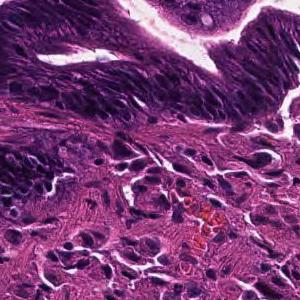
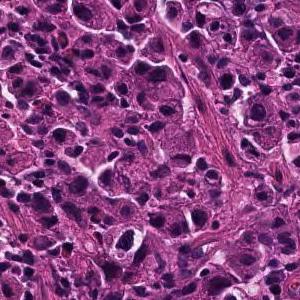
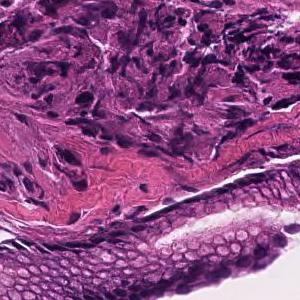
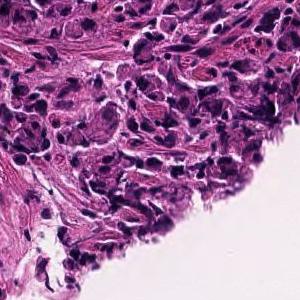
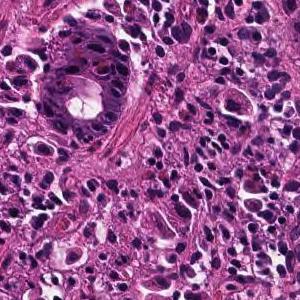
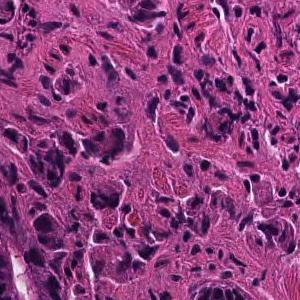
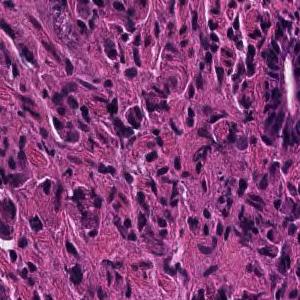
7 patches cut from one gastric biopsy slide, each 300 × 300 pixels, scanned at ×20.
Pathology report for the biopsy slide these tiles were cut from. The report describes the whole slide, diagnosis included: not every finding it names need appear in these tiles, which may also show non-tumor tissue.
Tumor tissue consisting of cord-like or small, irregular glandular ducts fused and infiltrated is observed in the superficial epithelium. Poorly differentiated adenocarcinoma, non-solid type
The term "non-solid type" comes from the Japanese Classification of Gastric Carcinoma.
